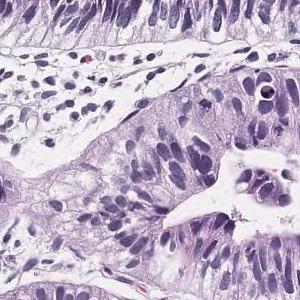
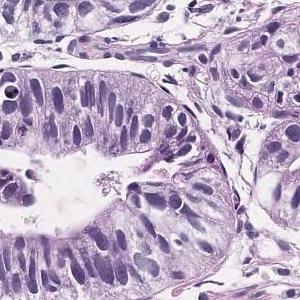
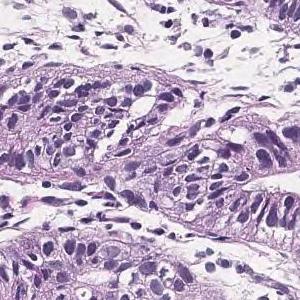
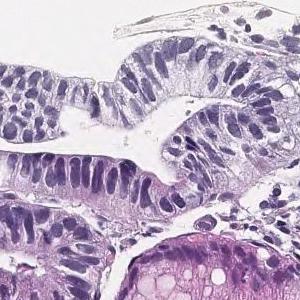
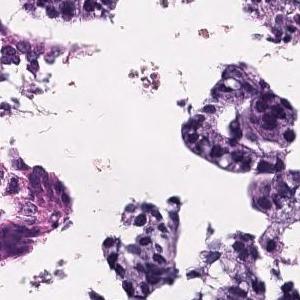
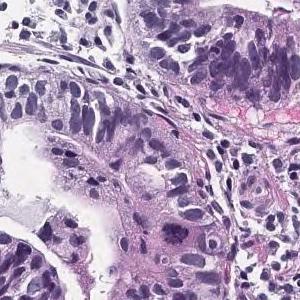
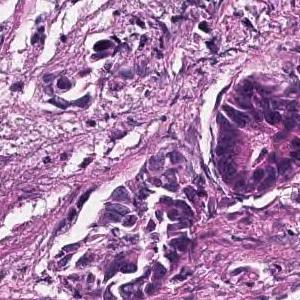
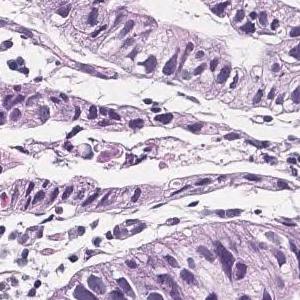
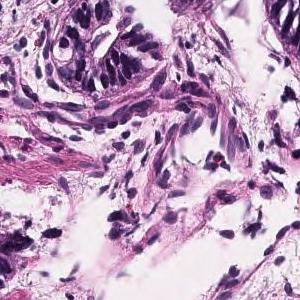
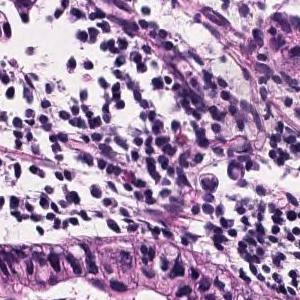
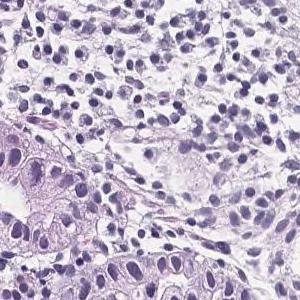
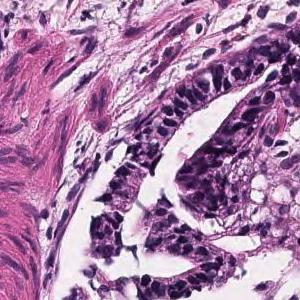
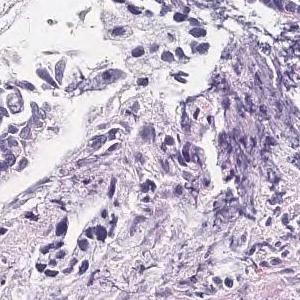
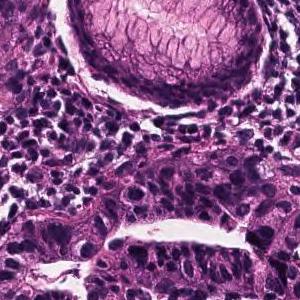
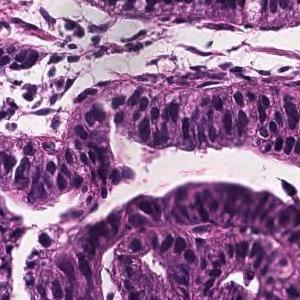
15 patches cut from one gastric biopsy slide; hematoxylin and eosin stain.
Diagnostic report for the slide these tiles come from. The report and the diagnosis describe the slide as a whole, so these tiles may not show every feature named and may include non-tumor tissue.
Tumor cells are large, highly columnar, large club-shaped nuclei, and are associated with chromatin aggregation. Papillary adenocarcinoma.
